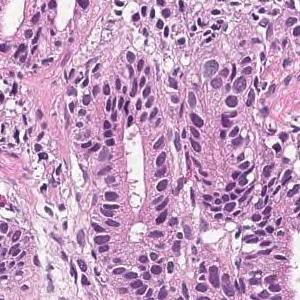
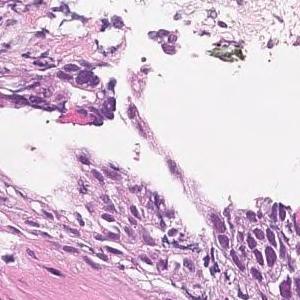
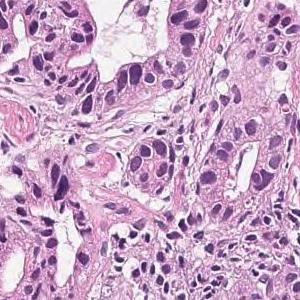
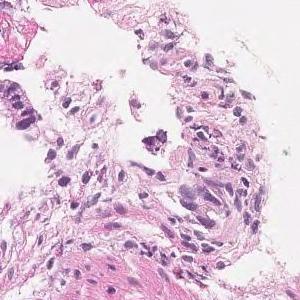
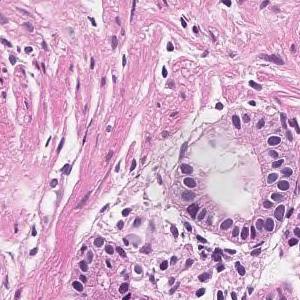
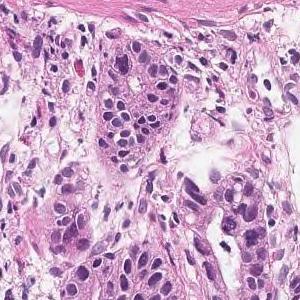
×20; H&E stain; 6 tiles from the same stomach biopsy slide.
Pathology report for the biopsy slide these tiles were cut from. What the report and the diagnosis say applies to the whole slide; these tiles may miss some of the features named and may include tissue that is not tumor.
In the superficial epithelium, tumor tissue that invades by forming medium-sized to small, irregular ducts is observed. moderately differentiated tubular adenocarcinoma.
